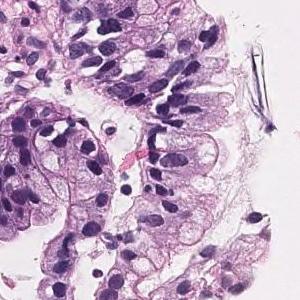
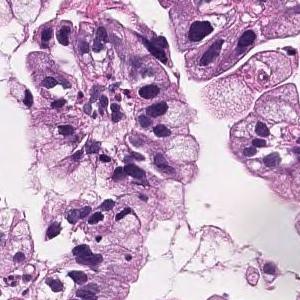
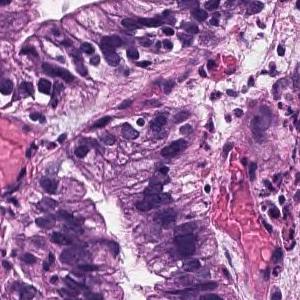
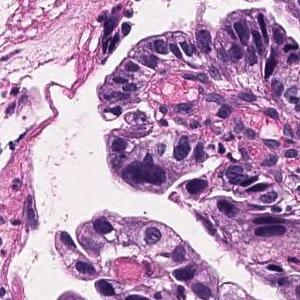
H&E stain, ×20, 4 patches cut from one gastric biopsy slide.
Pathology report for the biopsy slide these tiles were cut from. Both the report and the diagnosis are for the whole slide: these tiles need not show every feature named, and some of the tissue shown may not be tumor.
Tumor cells are large, highly columnar, large club-shaped nuclei, and are associated with chromatin aggregation. Papillary adenocarcinoma.
